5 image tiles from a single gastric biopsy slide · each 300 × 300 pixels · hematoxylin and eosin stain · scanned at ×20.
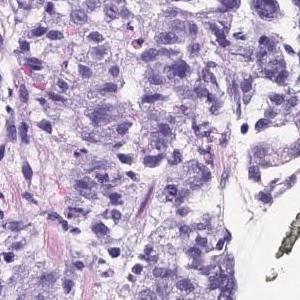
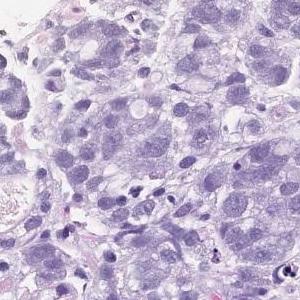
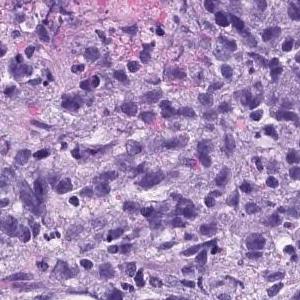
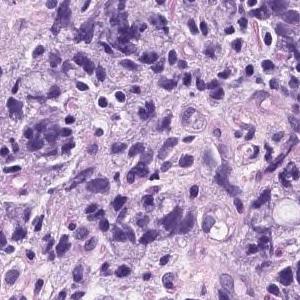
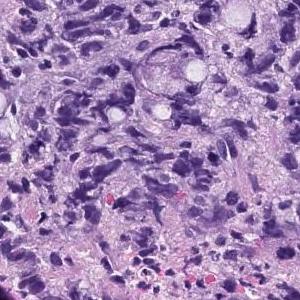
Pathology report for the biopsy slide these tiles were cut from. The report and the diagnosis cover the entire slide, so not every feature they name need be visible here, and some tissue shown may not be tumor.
Atypical l cells with atypical nuclei forming solid vesicles or small irregular atypical ducts that proliferate in a complex manner. poorly differentiated adenocarcinoma, solid type, moderately differentiated tubular adenocarcinoma
The solid type named here is a Japanese Classification of Gastric Carcinoma category; WHO 2019 calls it tubular adenocarcinoma, poorly differentiated.
